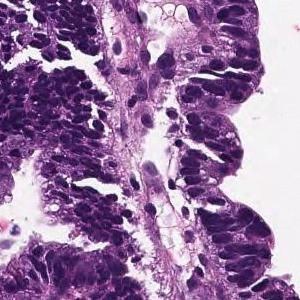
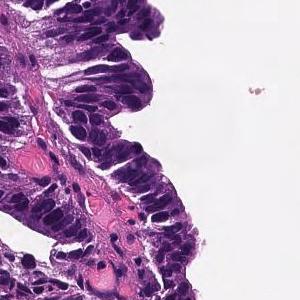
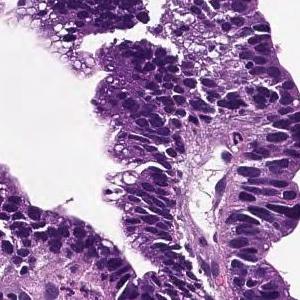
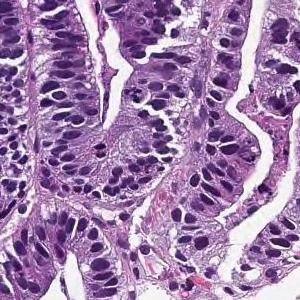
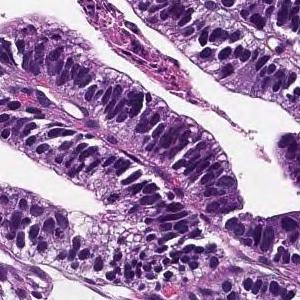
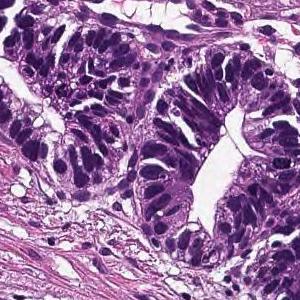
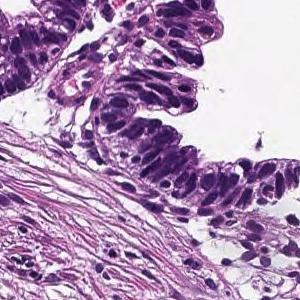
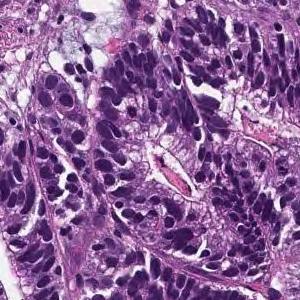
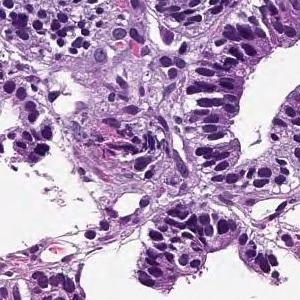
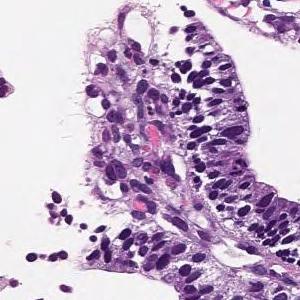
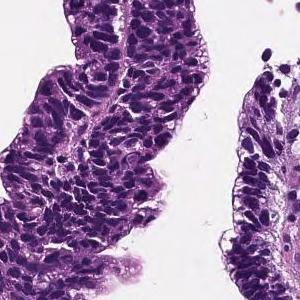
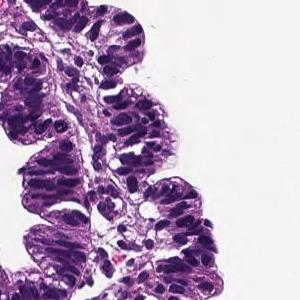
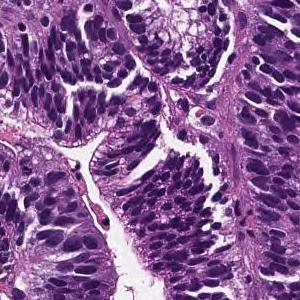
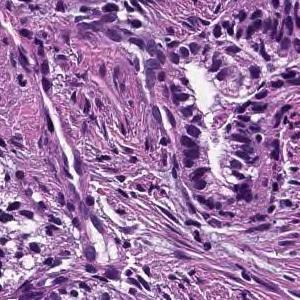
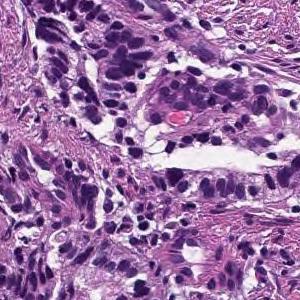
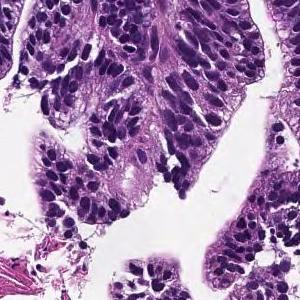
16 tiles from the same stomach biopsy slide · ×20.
Report on the slide these tiles come from. The report and the diagnosis describe the slide as a whole, so these tiles may not show every feature named and may include non-tumor tissue.
Tumor cells are large, highly columnar, large club-shaped nuclei, and are associated with chromatin aggregation. Papillary adenocarcinoma.
